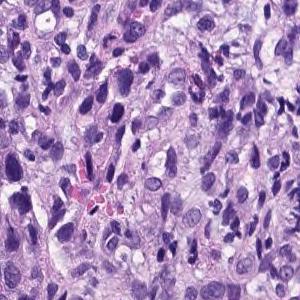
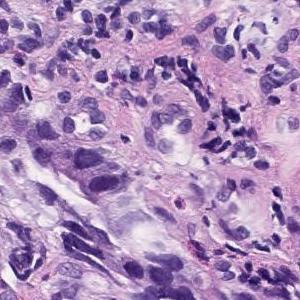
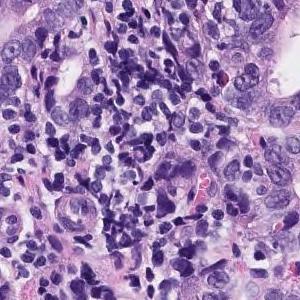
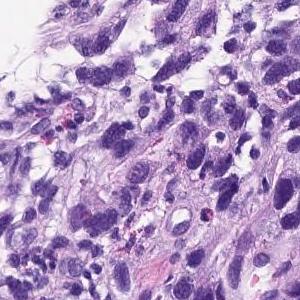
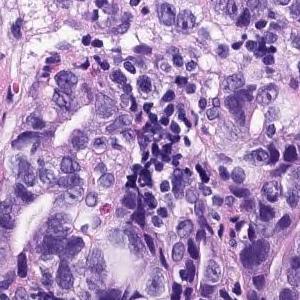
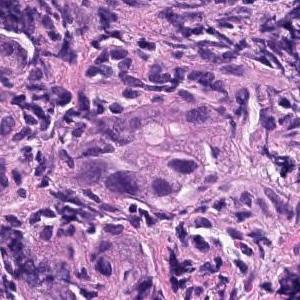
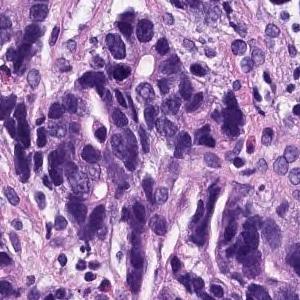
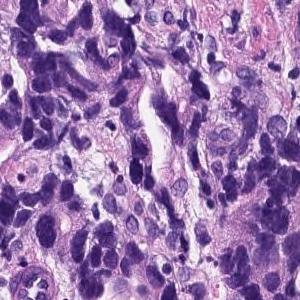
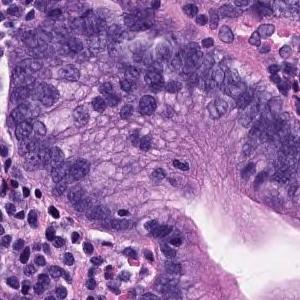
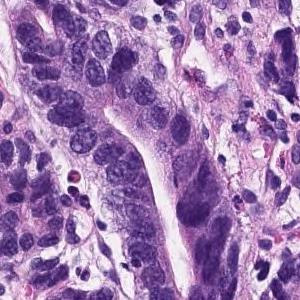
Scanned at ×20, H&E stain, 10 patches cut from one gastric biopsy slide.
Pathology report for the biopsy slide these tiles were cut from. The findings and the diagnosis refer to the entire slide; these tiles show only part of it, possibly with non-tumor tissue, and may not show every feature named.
On the superficial epithelium, tumor tissue consisting of images showing invasive growth with small, irregular tubules partially fused is observed. moderately differentiated tubular adenocarcinoma
